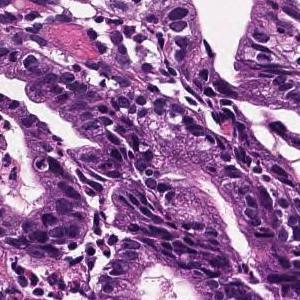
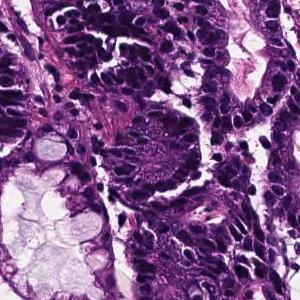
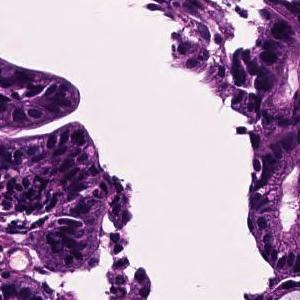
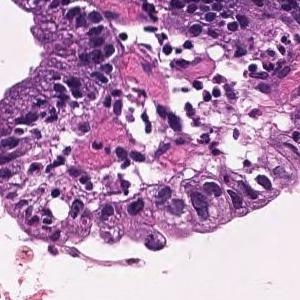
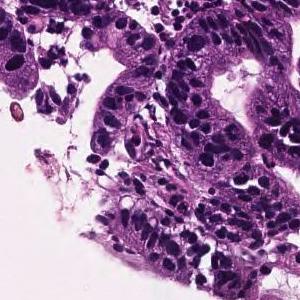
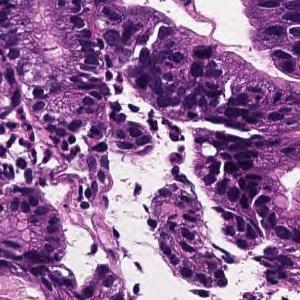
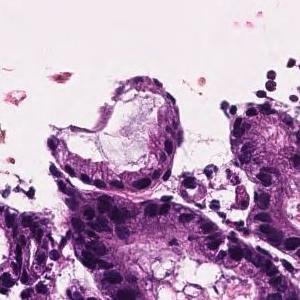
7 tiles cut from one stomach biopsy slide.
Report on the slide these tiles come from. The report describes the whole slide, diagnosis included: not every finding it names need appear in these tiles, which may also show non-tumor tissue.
On the superficial epithelium, tumor tissue that infiltrates by forming medium-sized papillary or small irregular ducts is observed. Papillary adenocarcinoma
